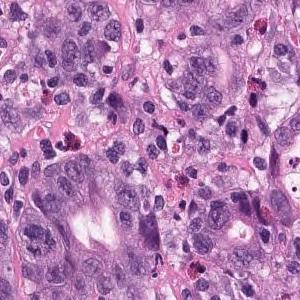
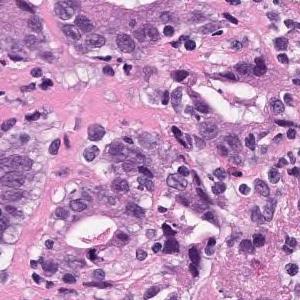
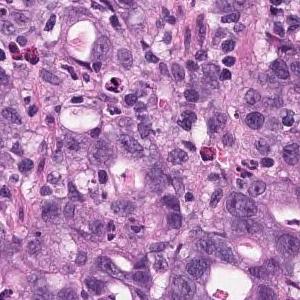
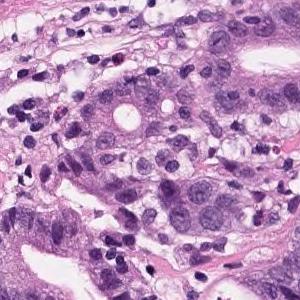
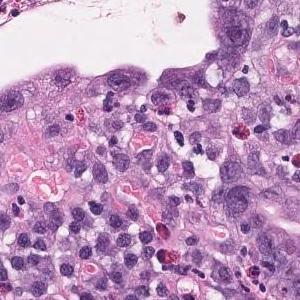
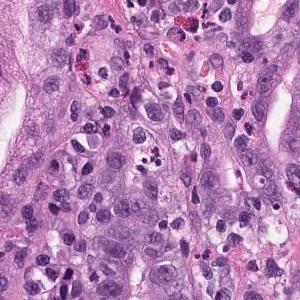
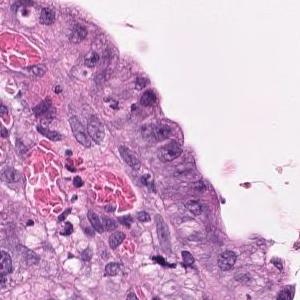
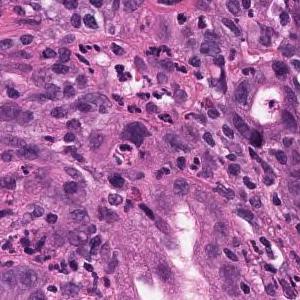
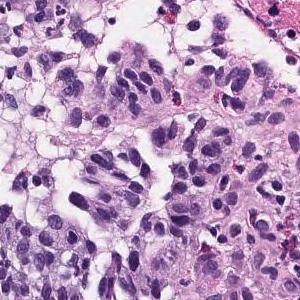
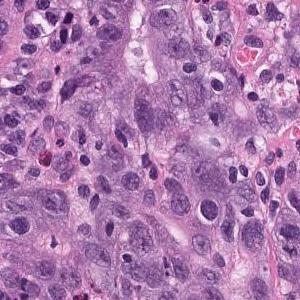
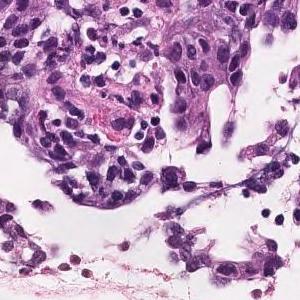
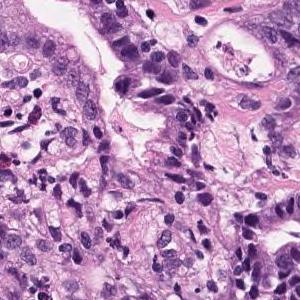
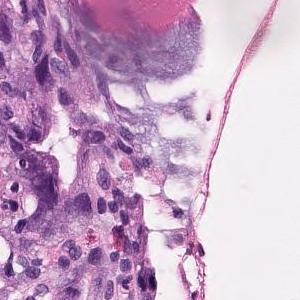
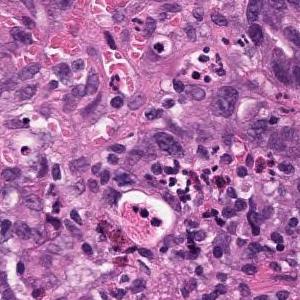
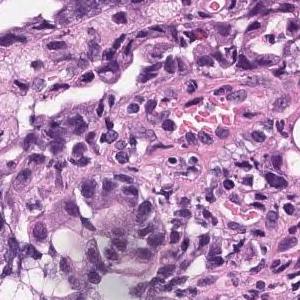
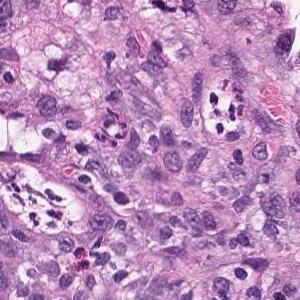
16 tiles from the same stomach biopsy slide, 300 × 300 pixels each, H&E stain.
Pathology report for the slide these tiles were cut from. The report describes the whole slide, diagnosis included: not every finding it names need appear in these tiles, which may also show non-tumor tissue.
Atypical ducts proliferating with obscure duct construction and solid sequences is observed. Moderately to poorly differentiated adenocarcinoma.
